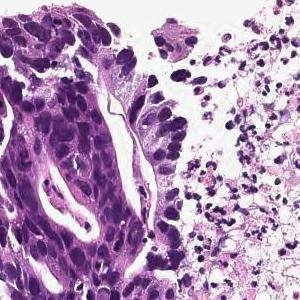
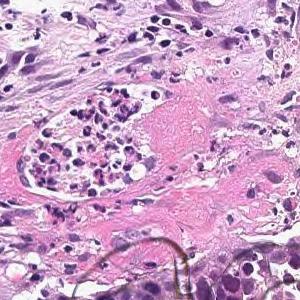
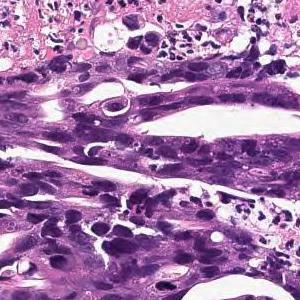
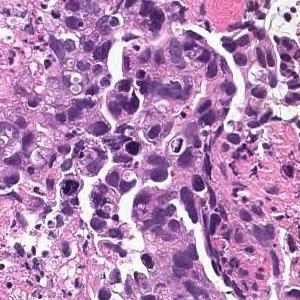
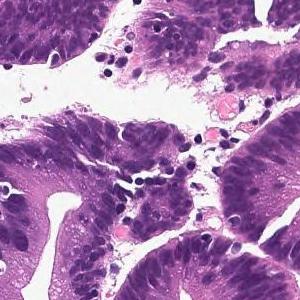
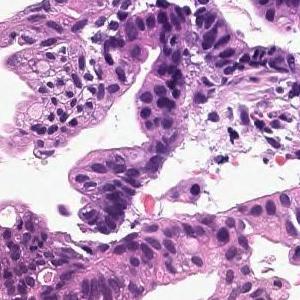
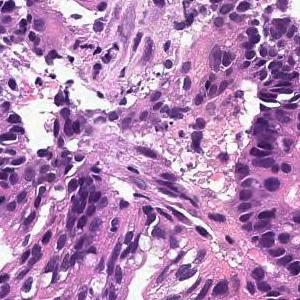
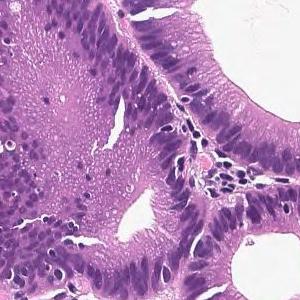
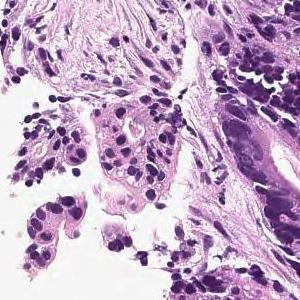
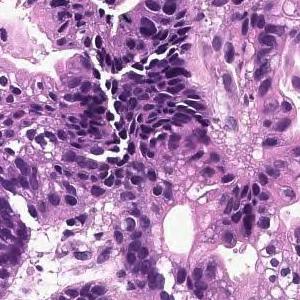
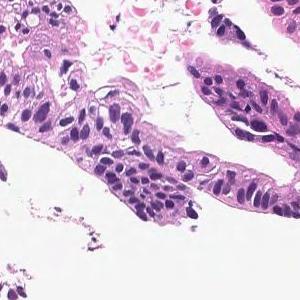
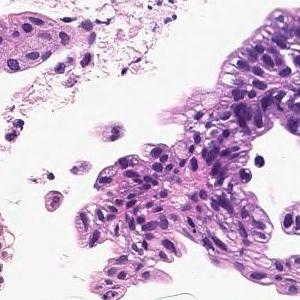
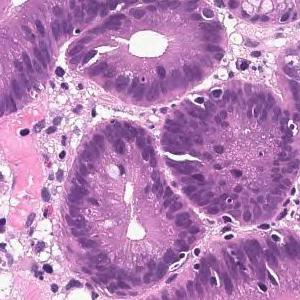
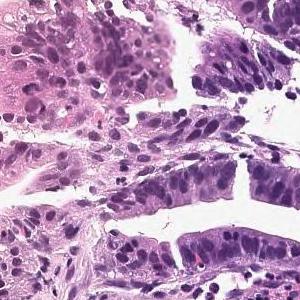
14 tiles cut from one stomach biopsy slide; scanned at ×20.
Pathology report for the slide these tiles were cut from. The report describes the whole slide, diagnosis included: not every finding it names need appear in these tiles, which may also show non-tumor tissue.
In the superficial epithelium, tumor tissue that invades by forming medium-sized to small, irregular ducts is observed. moderately differentiated tubular adenocarcinoma.
